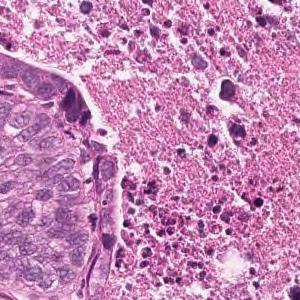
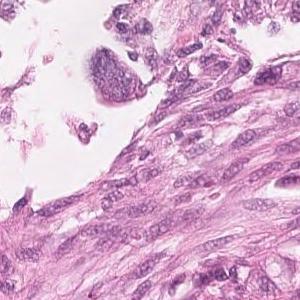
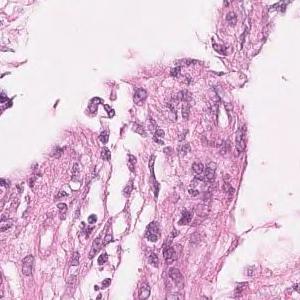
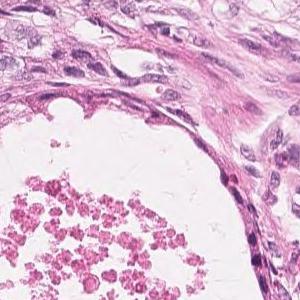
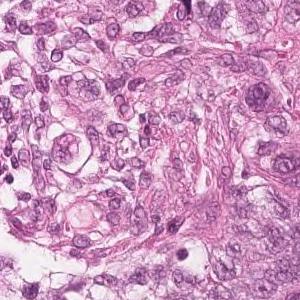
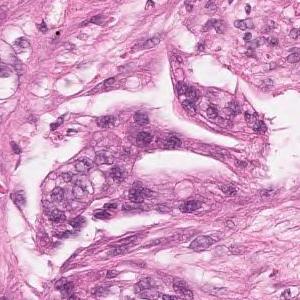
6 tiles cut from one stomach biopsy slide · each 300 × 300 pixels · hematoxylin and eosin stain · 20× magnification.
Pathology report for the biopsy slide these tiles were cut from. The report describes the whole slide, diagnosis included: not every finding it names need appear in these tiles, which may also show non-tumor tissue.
Highly columnar epithelium with disordered nuclear localization proliferates showing fusion ductal construction. moderately differentiated tubular adenocarcinoma
